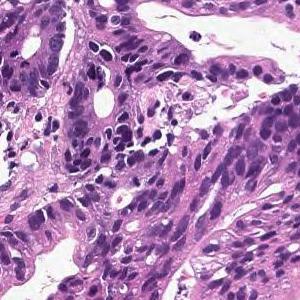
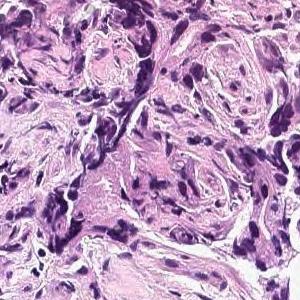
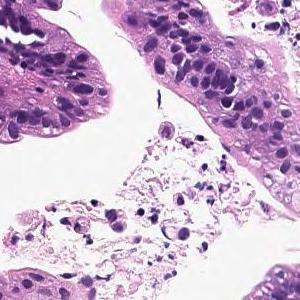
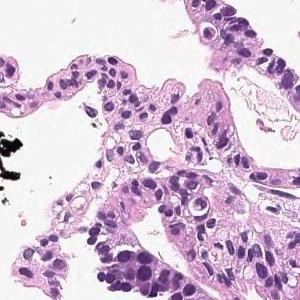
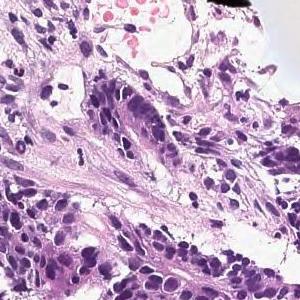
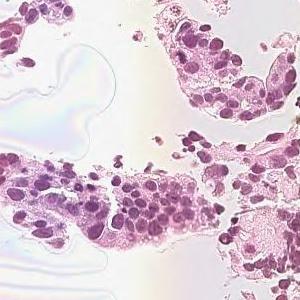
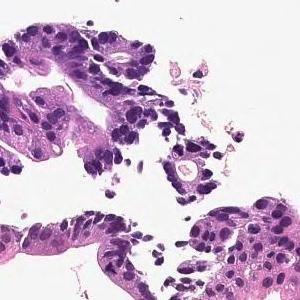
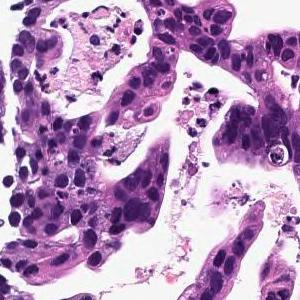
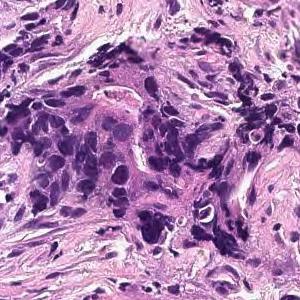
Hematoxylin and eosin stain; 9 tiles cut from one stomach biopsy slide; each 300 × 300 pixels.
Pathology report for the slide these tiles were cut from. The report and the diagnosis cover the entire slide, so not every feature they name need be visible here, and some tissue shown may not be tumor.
In the superficial epithelium, tumor tissue that invades by forming medium-sized to small, irregular ducts is observed. moderately differentiated tubular adenocarcinoma.
